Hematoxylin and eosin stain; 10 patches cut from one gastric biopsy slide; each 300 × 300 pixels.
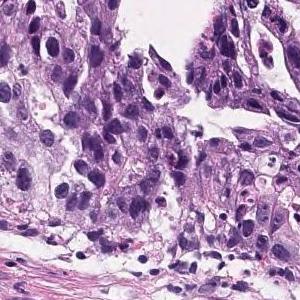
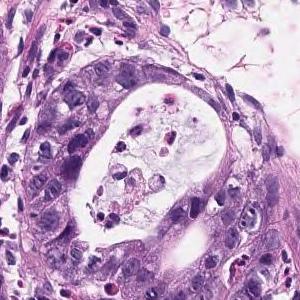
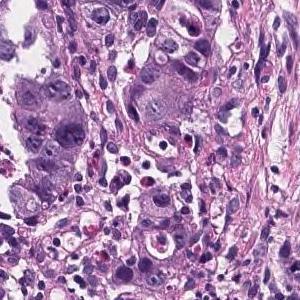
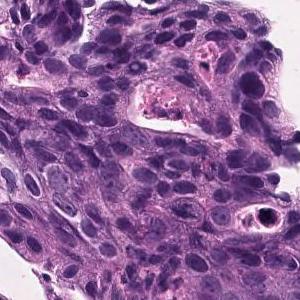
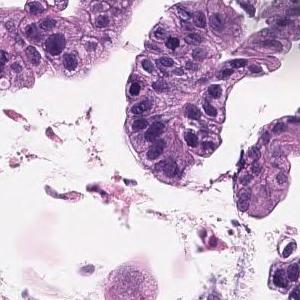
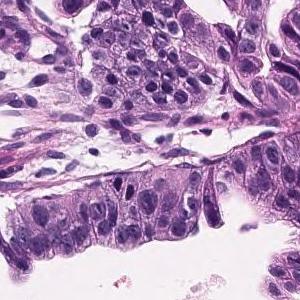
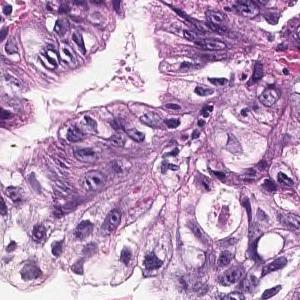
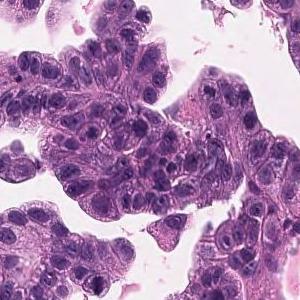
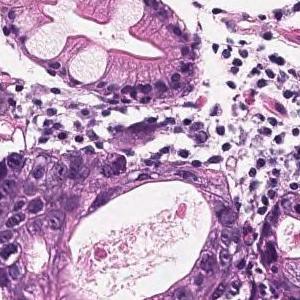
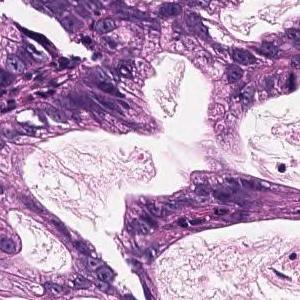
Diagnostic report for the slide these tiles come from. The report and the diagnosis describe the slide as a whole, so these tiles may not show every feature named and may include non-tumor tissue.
Tumor cells are large, highly columnar, large club-shaped nuclei, and are associated with chromatin aggregation. Papillary adenocarcinoma.
